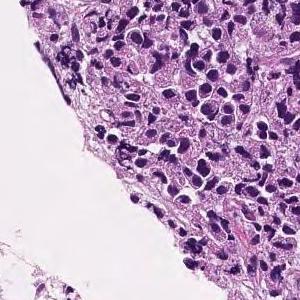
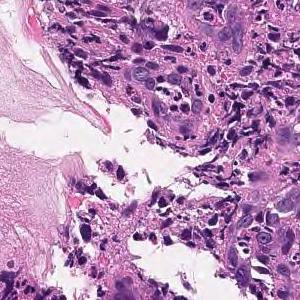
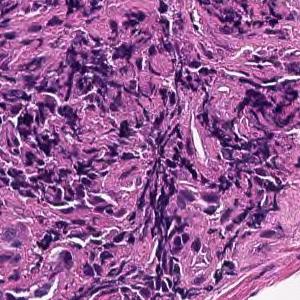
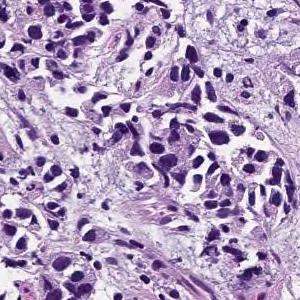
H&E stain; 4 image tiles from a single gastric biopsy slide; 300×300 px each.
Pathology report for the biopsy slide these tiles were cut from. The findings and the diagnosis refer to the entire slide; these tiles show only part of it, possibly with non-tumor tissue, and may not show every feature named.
The lamina propria shows small cord-like tumor tissue that infiltrates with fibrosis and marked chronic inflammatory cell infiltration. Poorly differentiated adenocarcinoma, non-solid type
The non-solid type named here is a Japanese Classification of Gastric Carcinoma category.
